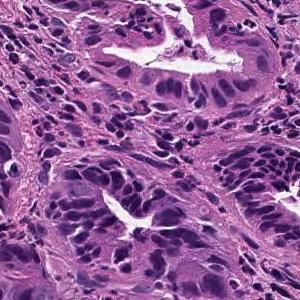
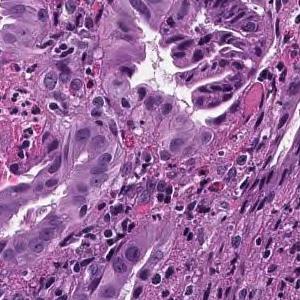
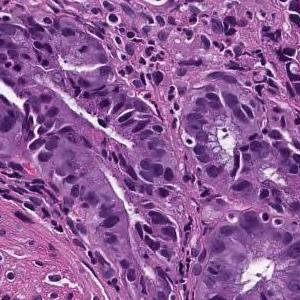
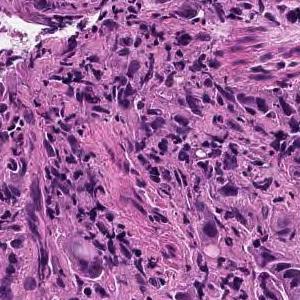
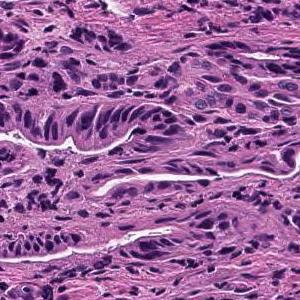
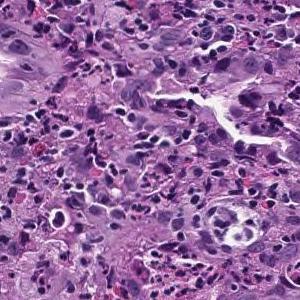
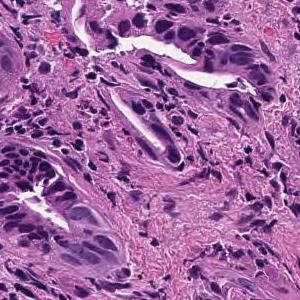
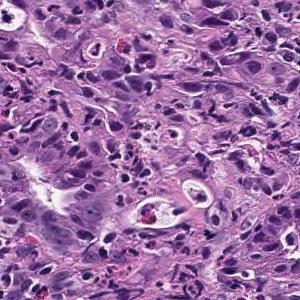
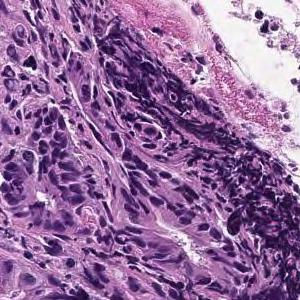
9 tiles from the same stomach biopsy slide; H&E; ×20.
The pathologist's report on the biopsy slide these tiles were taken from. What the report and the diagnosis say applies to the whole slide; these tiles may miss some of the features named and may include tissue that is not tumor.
On the superficial epithelium, tumor tissue consisting of large, irregular glandular ducts partially fused and infiltrated is observed. Well to moderately differentiated tubular adenocarcinoma (well differentiated tubular adenocarcinoma, moderately differentiated tubular adenocarcinoma)
Tumor subtype: well to moderately differentiated tubular adenocarcinoma.
